20× magnification · 7 image tiles from a single gastric biopsy slide · each 300 × 300 pixels.
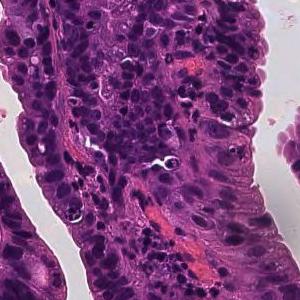
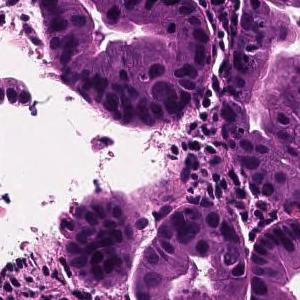
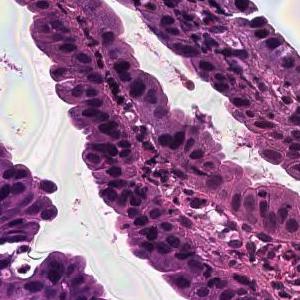
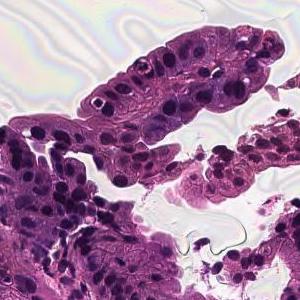
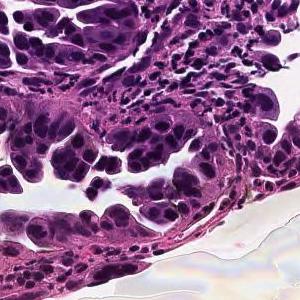
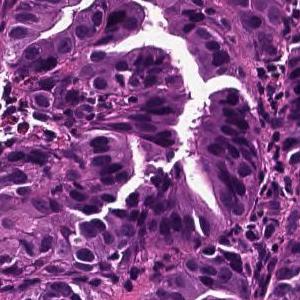
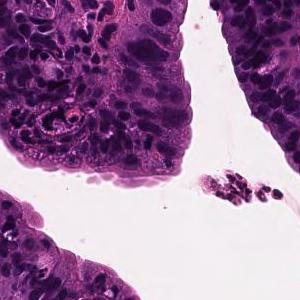
Diagnostic report for the slide these tiles come from. The report describes the whole slide, diagnosis included: not every finding it names need appear in these tiles, which may also show non-tumor tissue.
Tumor cells are large, highly columnar, large club-shaped nuclei, and are associated with chromatin aggregation. Papillary adenocarcinoma.
